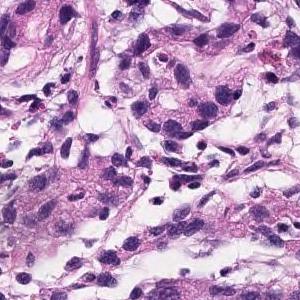
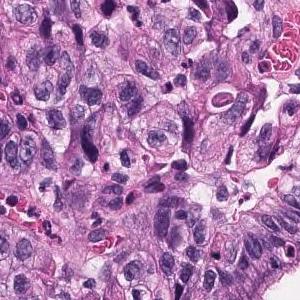
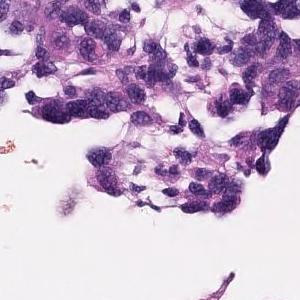
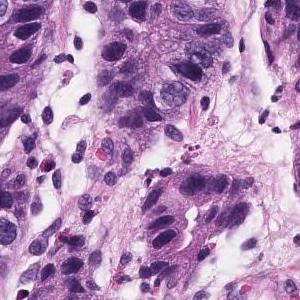
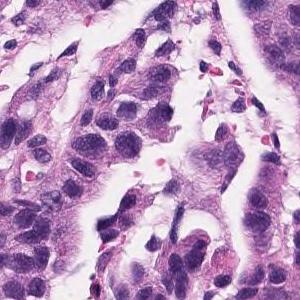
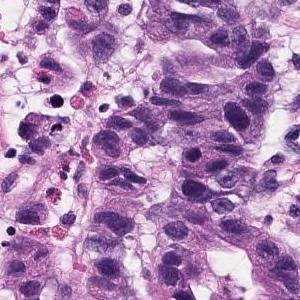
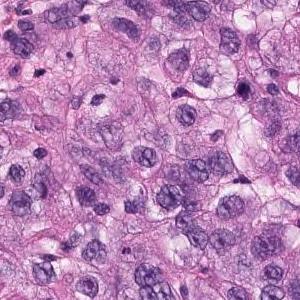
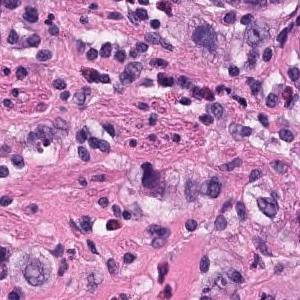
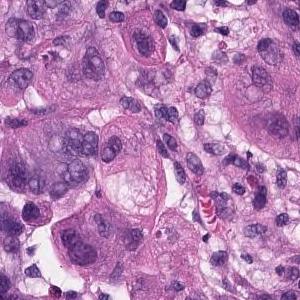
Scanned at ×20; hematoxylin and eosin stain; 9 patches cut from one gastric biopsy slide; each 300 × 300 pixels.
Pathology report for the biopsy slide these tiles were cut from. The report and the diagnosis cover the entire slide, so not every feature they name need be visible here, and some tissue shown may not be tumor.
Atypical l cells with atypical nuclei forming diffuse or small irregular atypical ducts and growing. Moderately to poorly differentiated adenocarcinoma (poorly differentiated adenocarcinoma, solid type, moderately differentiated tubular adenocarcinoma)
Classified as moderately to poorly differentiated adenocarcinoma.
The solid type named here is a Japanese Classification of Gastric Carcinoma category; WHO 2019 calls it tubular adenocarcinoma, poorly differentiated.
